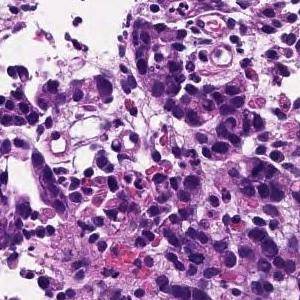
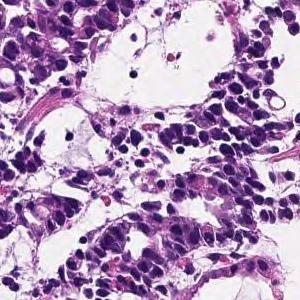
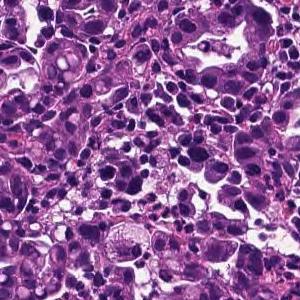
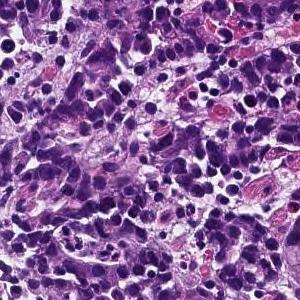
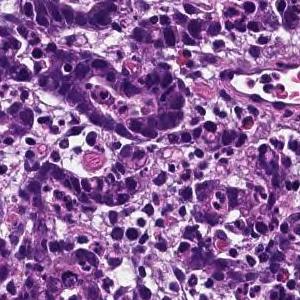
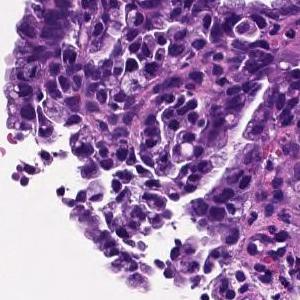
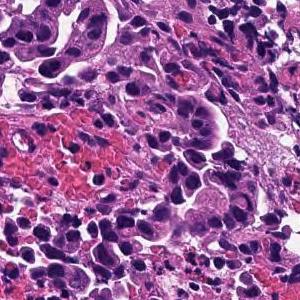
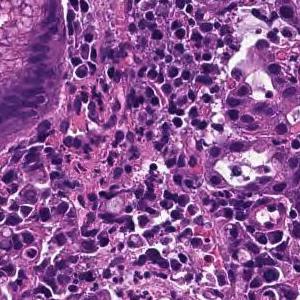
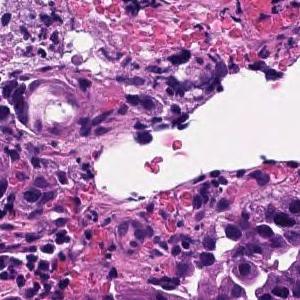
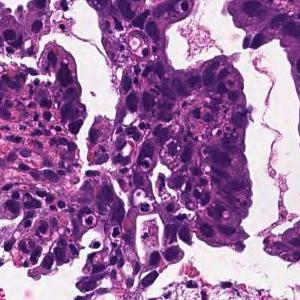
×20 · 10 tiles from the same stomach biopsy slide.
The pathologist's report on the biopsy slide these tiles were taken from. The findings and the diagnosis refer to the entire slide; these tiles show only part of it, possibly with non-tumor tissue, and may not show every feature named.
In the superficial epithelium, tumor tissue that invades by forming medium-sized to small, irregular ducts is observed. moderately differentiated tubular adenocarcinoma.
